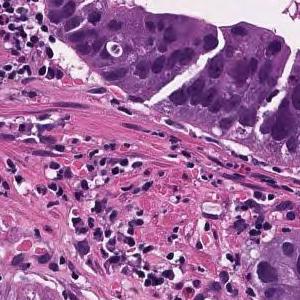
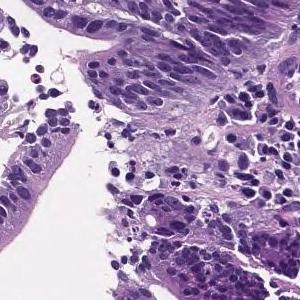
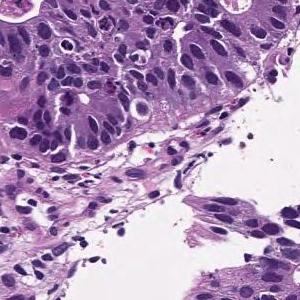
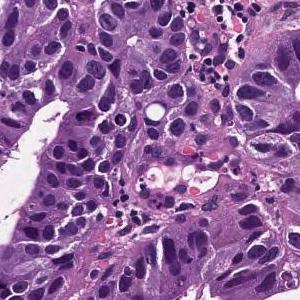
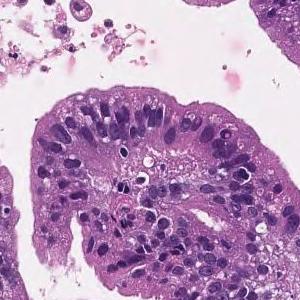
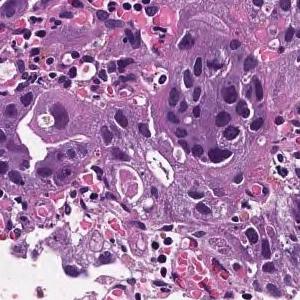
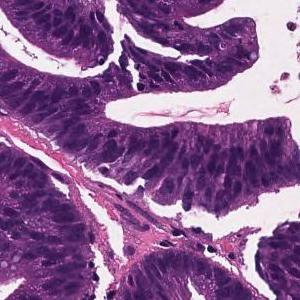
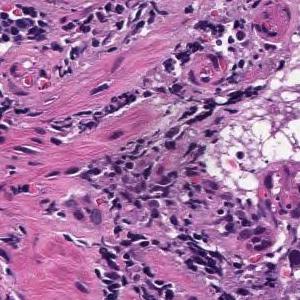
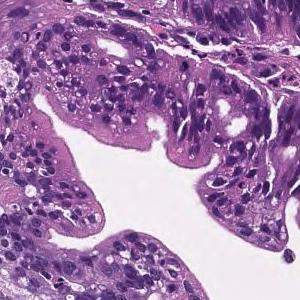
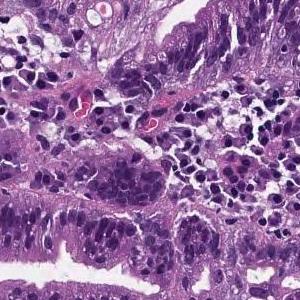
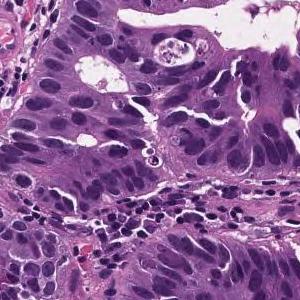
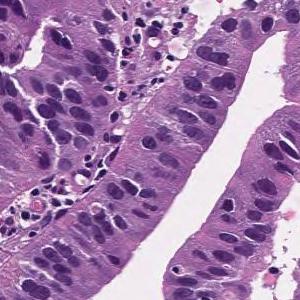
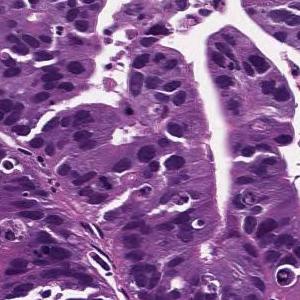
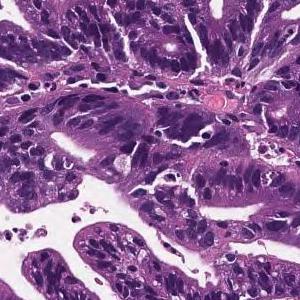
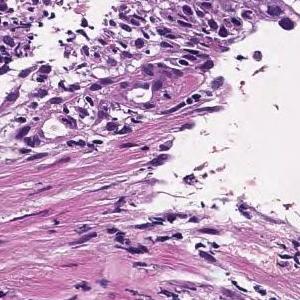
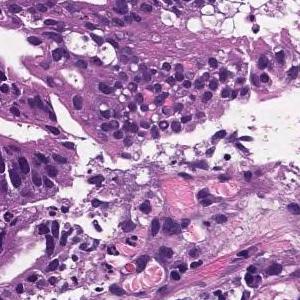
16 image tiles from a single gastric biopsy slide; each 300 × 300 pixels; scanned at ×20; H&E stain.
Report on the slide these tiles come from. The report and the diagnosis describe the slide as a whole, so these tiles may not show every feature named and may include non-tumor tissue.
Tumor cells are large, highly columnar, large club-shaped nuclei, and are associated with chromatin aggregation. Papillary adenocarcinoma.
